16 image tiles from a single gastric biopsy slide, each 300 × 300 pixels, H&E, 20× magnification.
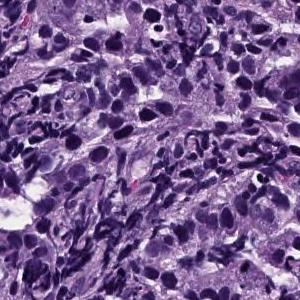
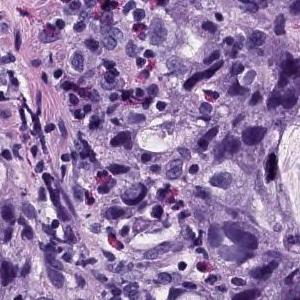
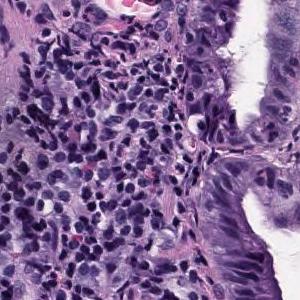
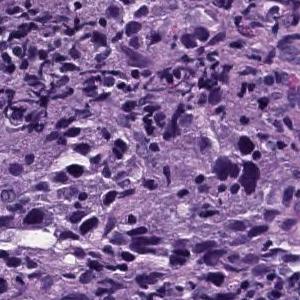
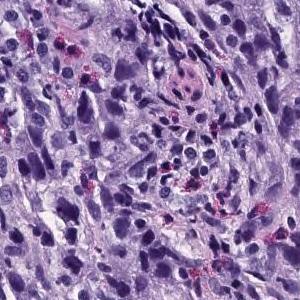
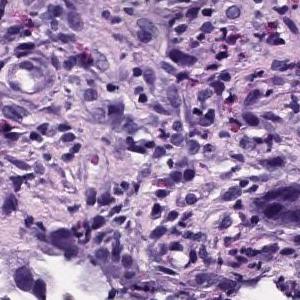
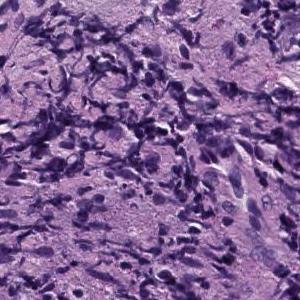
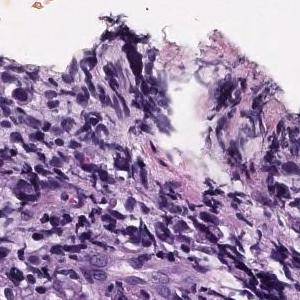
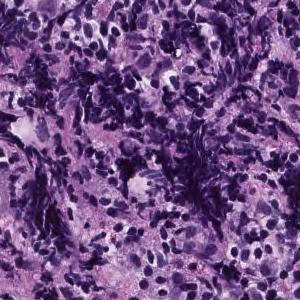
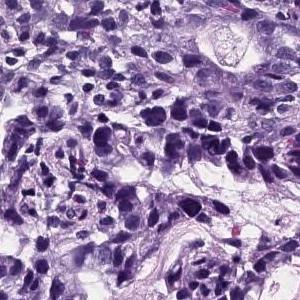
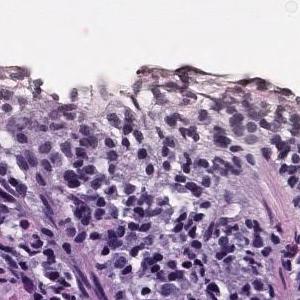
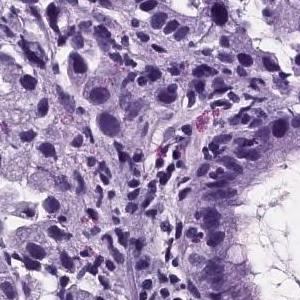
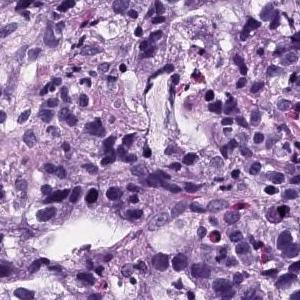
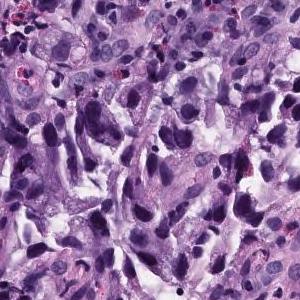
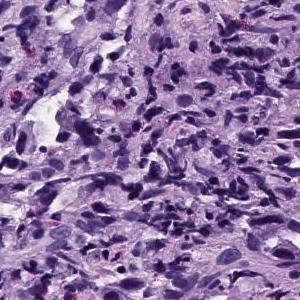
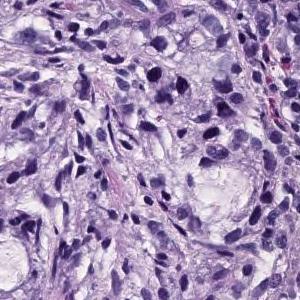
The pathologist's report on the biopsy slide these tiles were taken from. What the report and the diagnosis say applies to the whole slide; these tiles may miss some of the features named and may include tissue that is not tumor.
Atypical epithelial cells infiltrating and proliferating while forming solid or cord-like fused glandular cavities of different sizes is observed. moderately differentiated tubular adenocarcinoma, poorly differentiated adenocarcinoma.
Tumor subtype: moderately to poorly differentiated adenocarcinoma.
